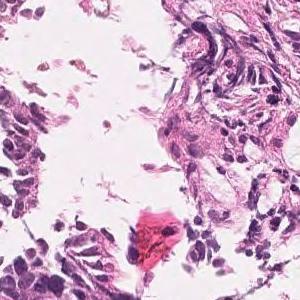
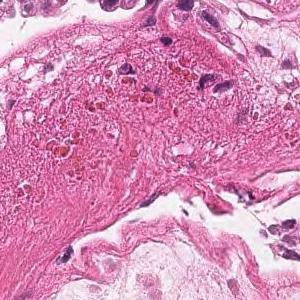
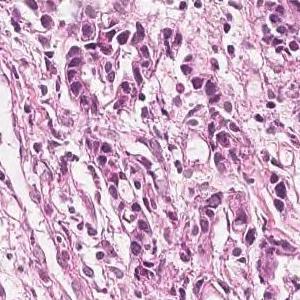
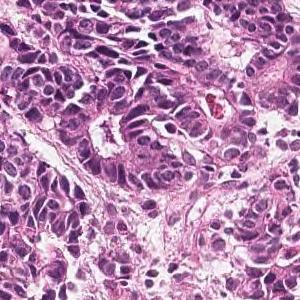
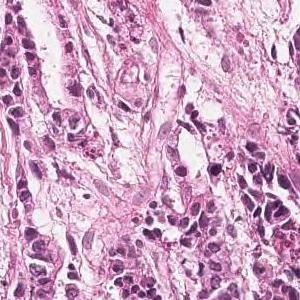
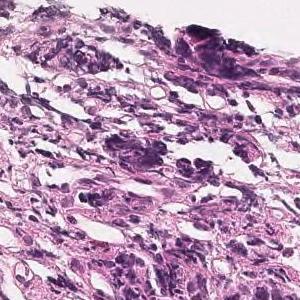
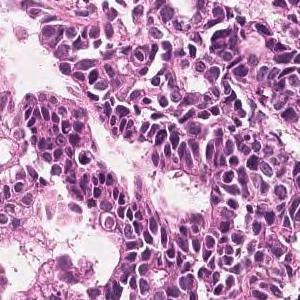
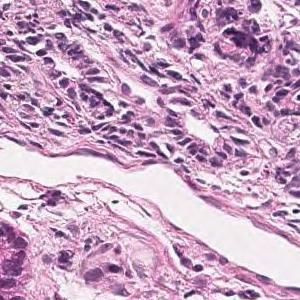
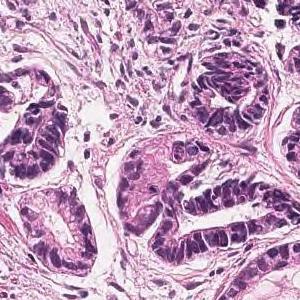
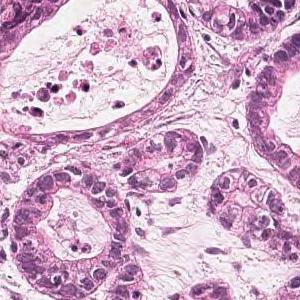
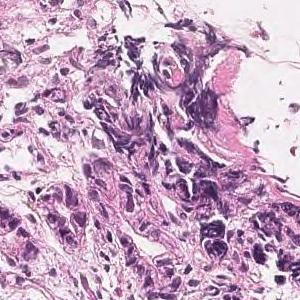
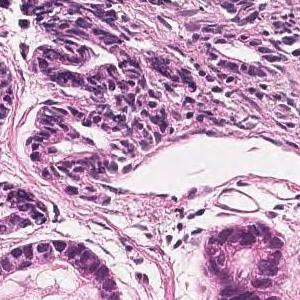
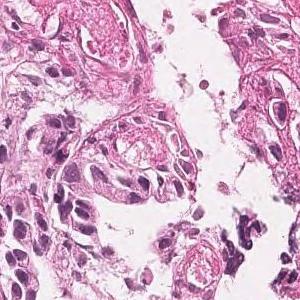
H&E stain; 13 patches cut from one gastric biopsy slide.
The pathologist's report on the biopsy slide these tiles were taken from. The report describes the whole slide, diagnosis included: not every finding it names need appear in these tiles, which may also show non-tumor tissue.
On the superficial epithelium, tumor tissue consisting of large, irregular glandular ducts partially fused and infiltrated is observed. Well to moderately differentiated tubular adenocarcinoma (well differentiated tubular adenocarcinoma, moderately differentiated tubular adenocarcinoma)
Histological subtype: Well to moderately differentiated tubular adenocarcinoma.
